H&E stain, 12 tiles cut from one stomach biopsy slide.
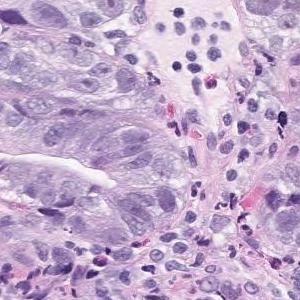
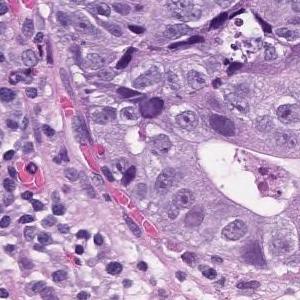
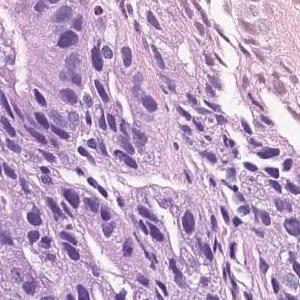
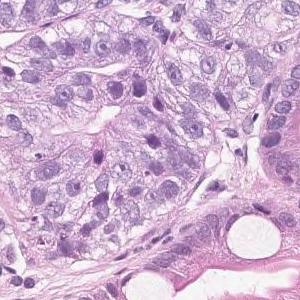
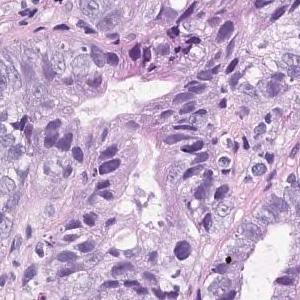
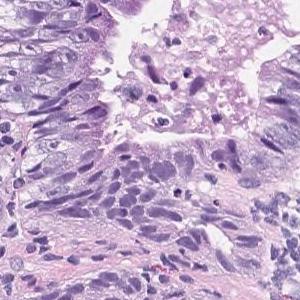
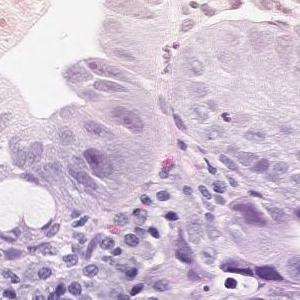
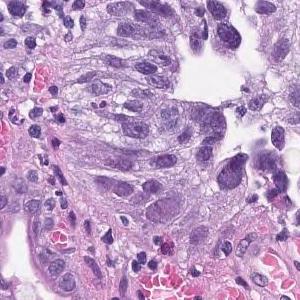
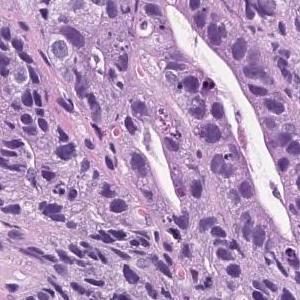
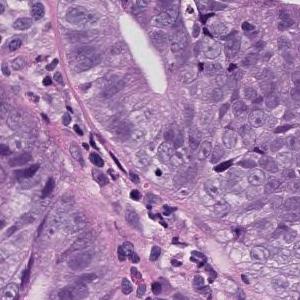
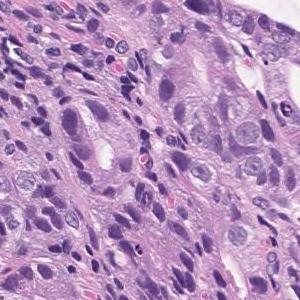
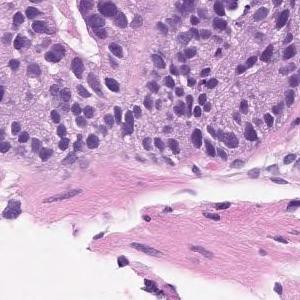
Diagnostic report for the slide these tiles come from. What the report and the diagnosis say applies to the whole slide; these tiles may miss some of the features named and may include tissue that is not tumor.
On the superficial epithelium, tumor tissue consisting of medium to small irregular tubules partially fused and proliferated is observed. moderately differentiated tubular adenocarcinoma
